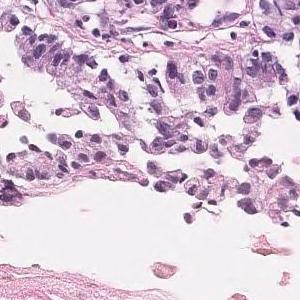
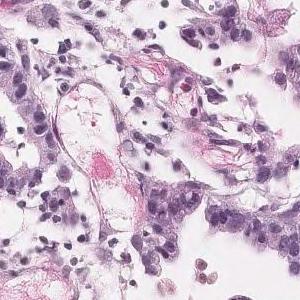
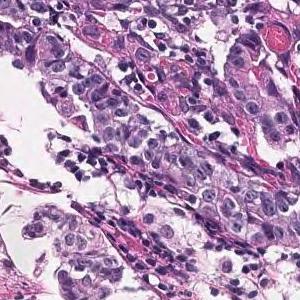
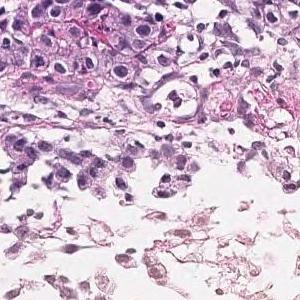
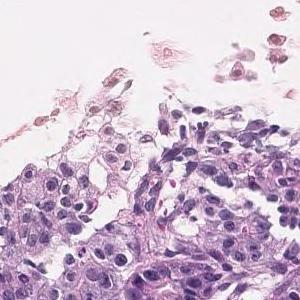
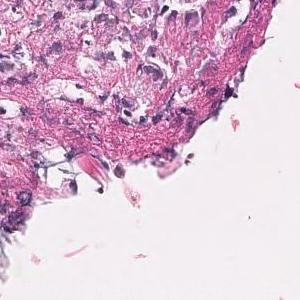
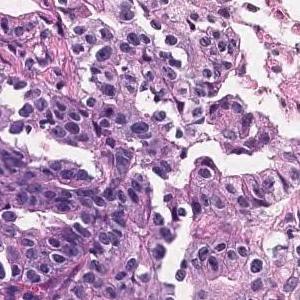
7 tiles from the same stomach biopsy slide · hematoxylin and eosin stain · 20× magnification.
Pathology report for the slide these tiles were cut from. Both the report and the diagnosis are for the whole slide: these tiles need not show every feature named, and some of the tissue shown may not be tumor.
In the superficial epithelium, tumor tissue that invades by forming medium-sized to small, irregular ducts is observed. moderately differentiated tubular adenocarcinoma.
